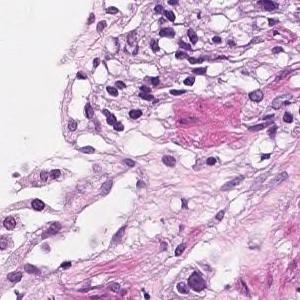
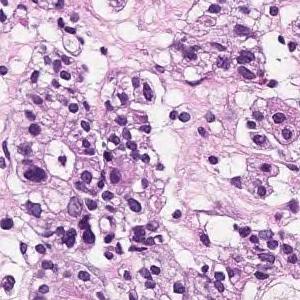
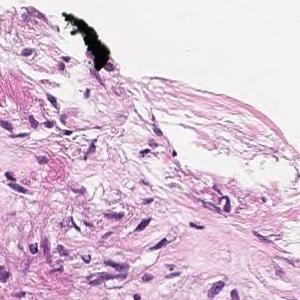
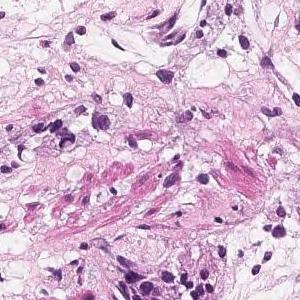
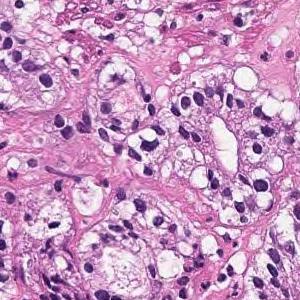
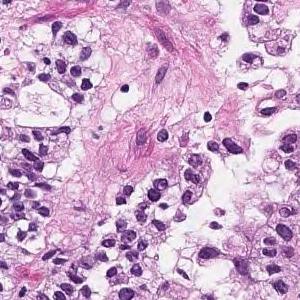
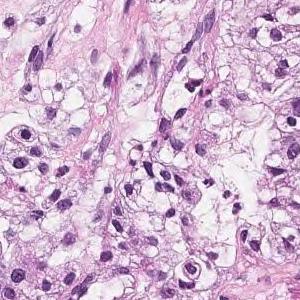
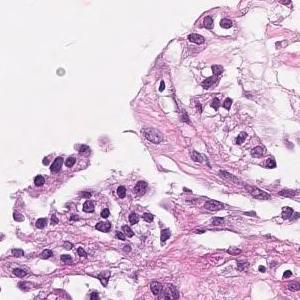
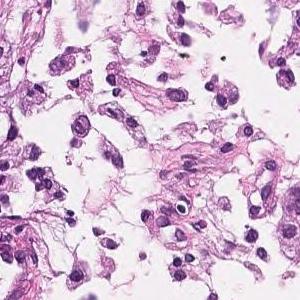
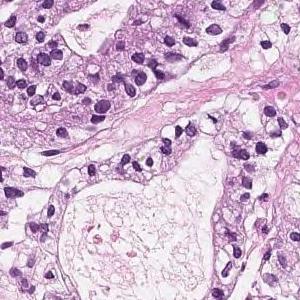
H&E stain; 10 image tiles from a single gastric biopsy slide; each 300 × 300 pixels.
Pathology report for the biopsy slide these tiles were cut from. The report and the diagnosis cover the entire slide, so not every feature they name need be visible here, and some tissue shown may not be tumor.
In the superficial epithelium, tumor tissue that invades by forming medium-sized to small, irregular ducts is observed. moderately differentiated tubular adenocarcinoma.
